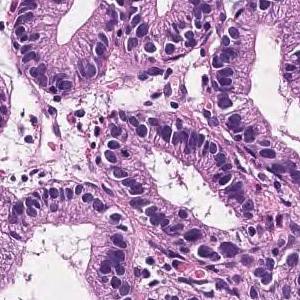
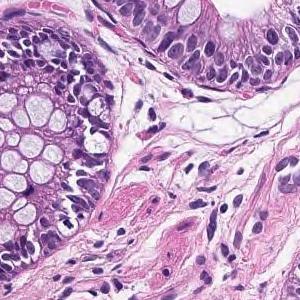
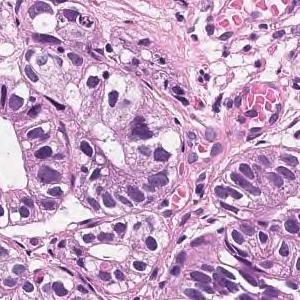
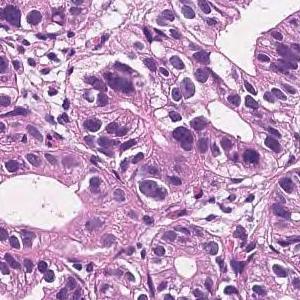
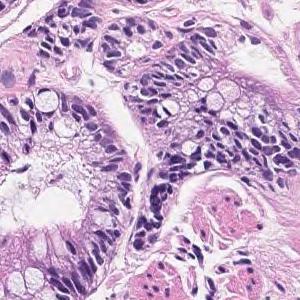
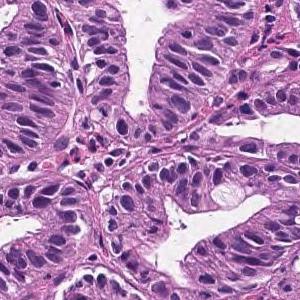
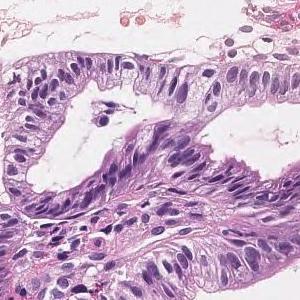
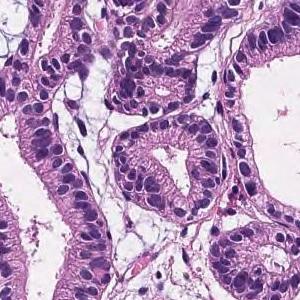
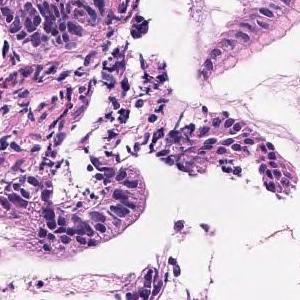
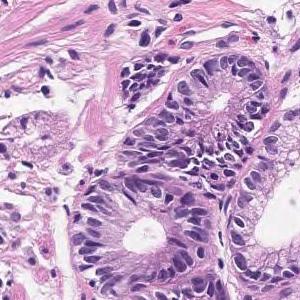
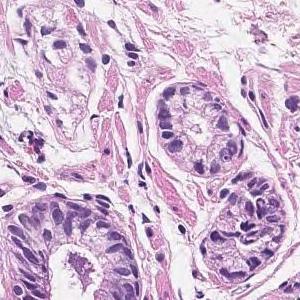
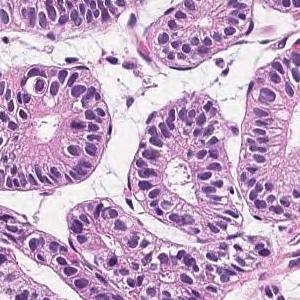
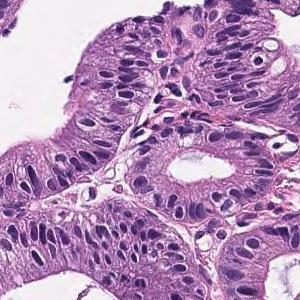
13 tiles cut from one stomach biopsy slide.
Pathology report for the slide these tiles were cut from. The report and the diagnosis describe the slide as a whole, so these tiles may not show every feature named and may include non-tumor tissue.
In the superficial epithelium, tumor tissue that invades by forming medium-sized to small, irregular ducts is observed. Well differentiated tubular adenocarcinoma.
